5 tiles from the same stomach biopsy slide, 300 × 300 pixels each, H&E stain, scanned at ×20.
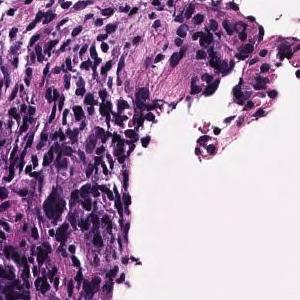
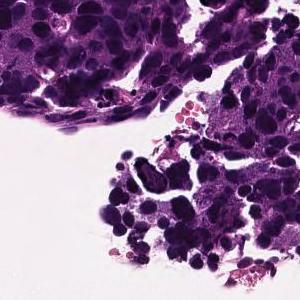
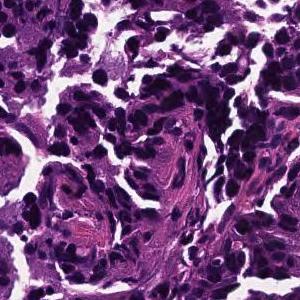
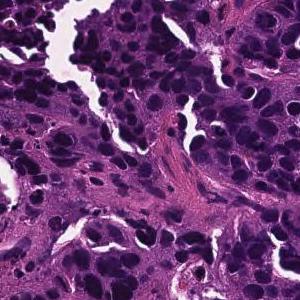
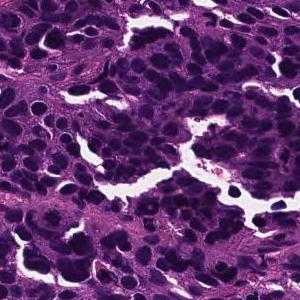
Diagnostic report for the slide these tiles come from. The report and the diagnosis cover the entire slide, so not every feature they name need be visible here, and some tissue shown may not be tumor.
In the superficial epithelium, medium to small irregular gland ducts are formed, and in some cases, the ducts are fused to show solid alveolar lesions and infiltrating tumor tissue is observed. moderately differentiated tubular adenocarcinoma or poorly differentiated adenocarcinoma, solid-type (poorly differentiated adenocarcinoma, solid type)
Labeled in the dataset as poorly differentiated adenocarcinoma, solid type (Japanese Classification of Gastric Carcinoma). The WHO 2019 equivalent is tubular adenocarcinoma, poorly differentiated.
